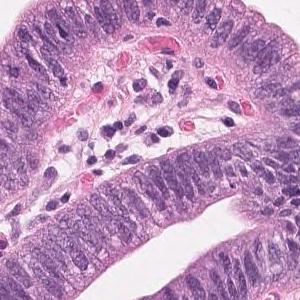
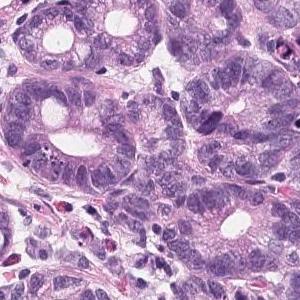
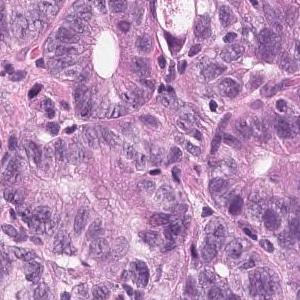
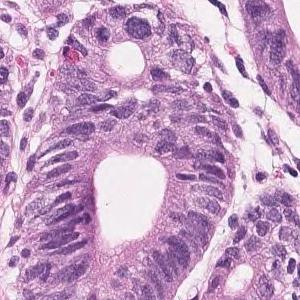
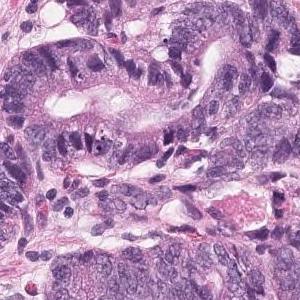
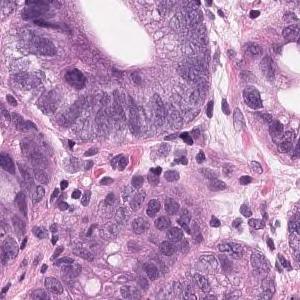
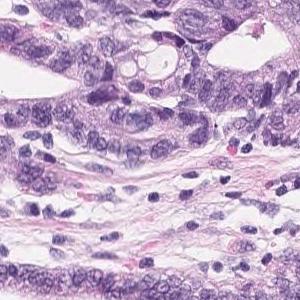
Scanned at ×20 · 7 image tiles from a single gastric biopsy slide · each 300 × 300 pixels.
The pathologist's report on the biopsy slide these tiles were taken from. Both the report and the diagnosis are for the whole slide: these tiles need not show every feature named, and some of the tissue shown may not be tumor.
Atypical ducts with severe atypia are densely populated in the superficial epithelium, and tumor tissue with hyperplasia is observed. Well differentiated tubular adenocarcinoma
